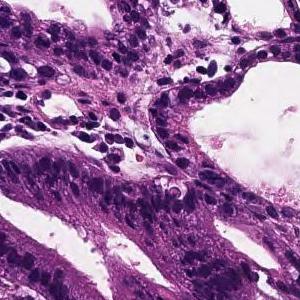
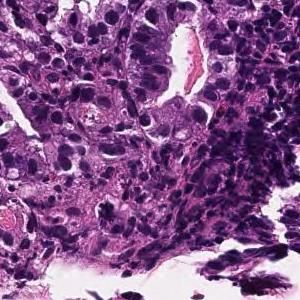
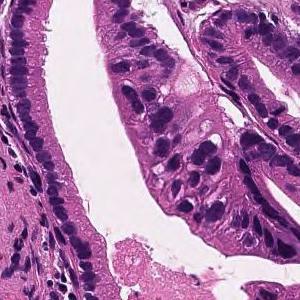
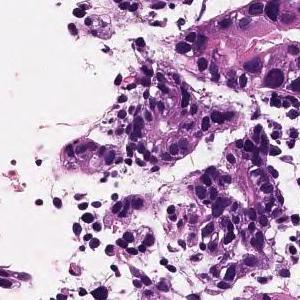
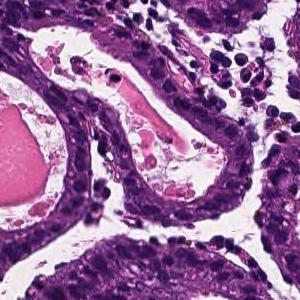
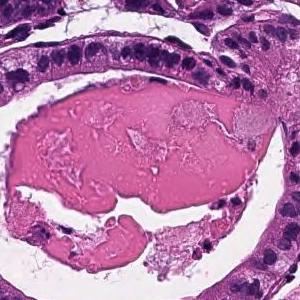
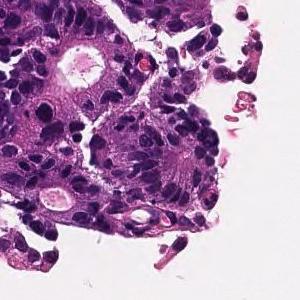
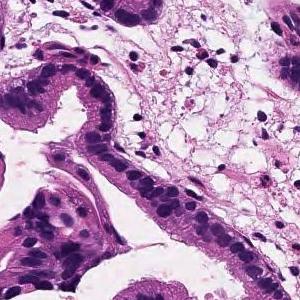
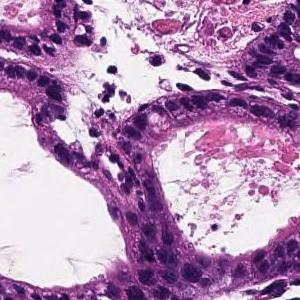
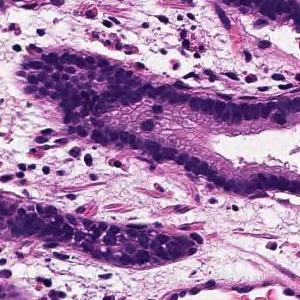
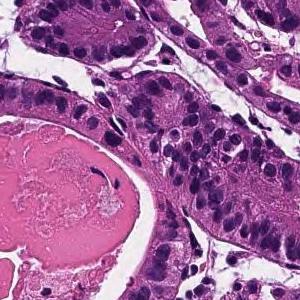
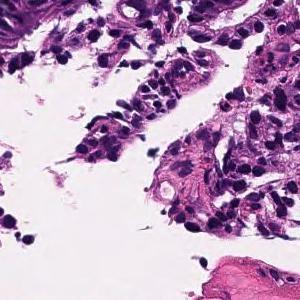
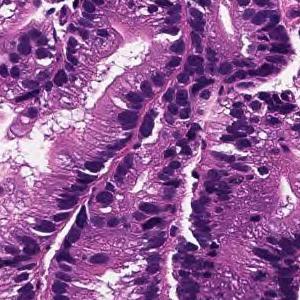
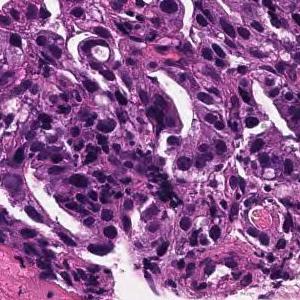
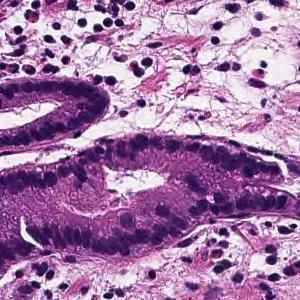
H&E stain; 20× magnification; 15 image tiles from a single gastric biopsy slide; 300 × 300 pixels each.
The pathologist's report on the biopsy slide these tiles were taken from. The report and the diagnosis cover the entire slide, so not every feature they name need be visible here, and some tissue shown may not be tumor.
From the superficial epithelium to the muscularis mucosae, tumor tissue consisting of medium-sized and irregular glandular ducts infiltrating is observed. Well differentiated tubular adenocarcinoma
